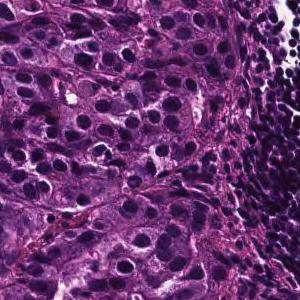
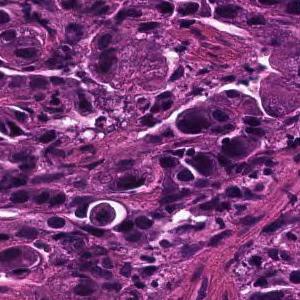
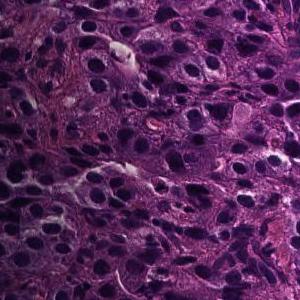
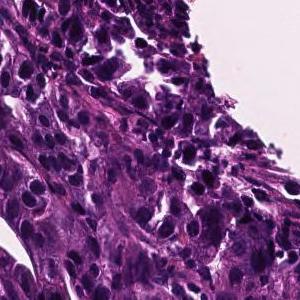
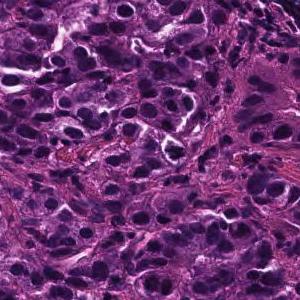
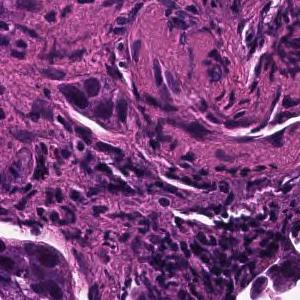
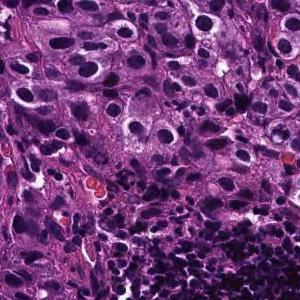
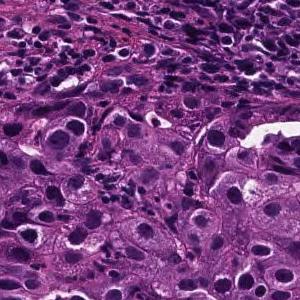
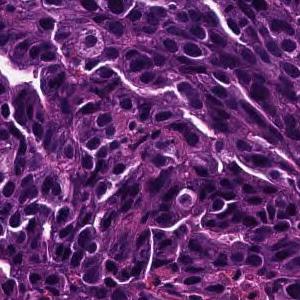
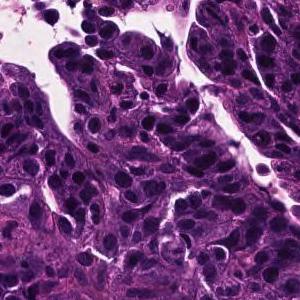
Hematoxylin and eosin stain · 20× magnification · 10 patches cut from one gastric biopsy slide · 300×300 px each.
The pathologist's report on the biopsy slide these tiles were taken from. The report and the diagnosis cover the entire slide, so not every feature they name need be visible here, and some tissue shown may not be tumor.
Tumor tissue consisting of medium-sized, cord-like or irregular glandular fusion and infiltration is observed in the superficial epithelium. Poorly differentiated adenocarcinoma, non-solid type or moderately differentiated tubular adenocarcinoma
Classified as moderately to poorly differentiated adenocarcinoma.
"Non-solid type" is a category of the Japanese Classification of Gastric Carcinoma.
